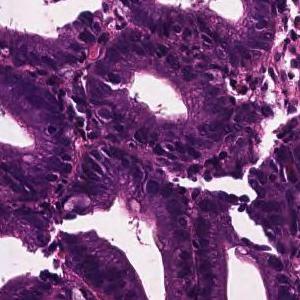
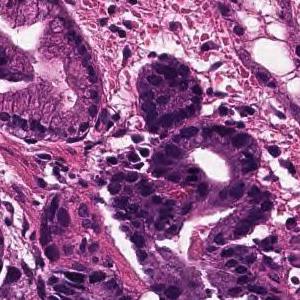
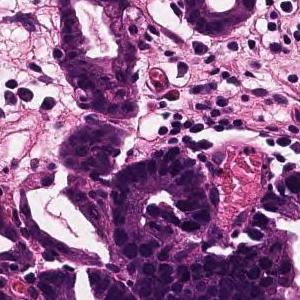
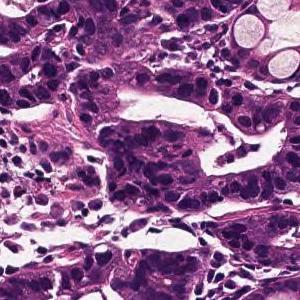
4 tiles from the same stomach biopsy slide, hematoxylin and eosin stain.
Pathology report for the biopsy slide these tiles were cut from. Both the report and the diagnosis are for the whole slide: these tiles need not show every feature named, and some of the tissue shown may not be tumor.
On the superficial epithelium, tumor tissue consisting of medium-sized and irregular glandular ducts partially fused and infiltrated is observed. Well to moderately differentiated tubular adenocarcinoma (well differentiated tubular adenocarcinoma-moderately differentiated tubular adenocarcinoma)
Histological subtype: Well to moderately differentiated tubular adenocarcinoma.
